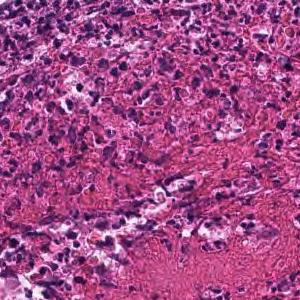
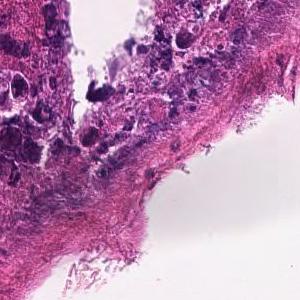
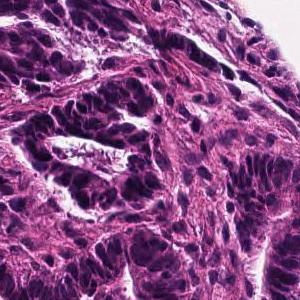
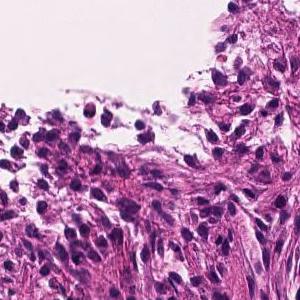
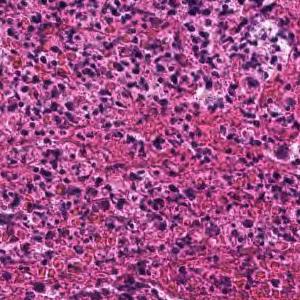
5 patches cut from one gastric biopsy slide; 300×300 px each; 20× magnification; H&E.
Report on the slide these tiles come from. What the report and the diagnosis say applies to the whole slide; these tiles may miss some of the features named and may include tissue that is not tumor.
In the superficial epithelium, tumor tissue that invades by forming medium-sized to small, irregular ducts is observed. moderately differentiated tubular adenocarcinoma.
